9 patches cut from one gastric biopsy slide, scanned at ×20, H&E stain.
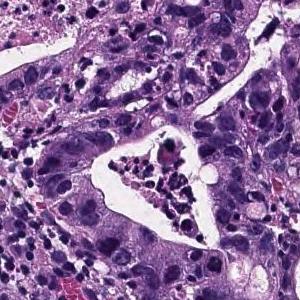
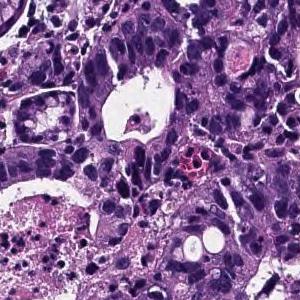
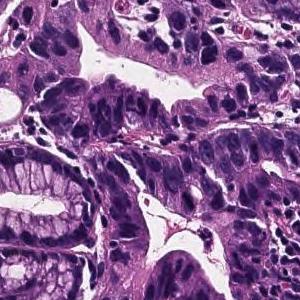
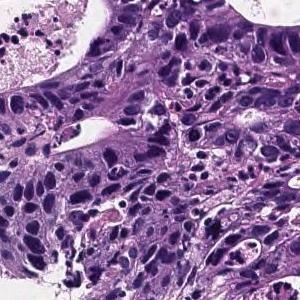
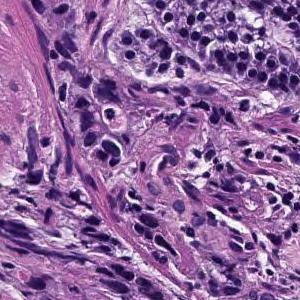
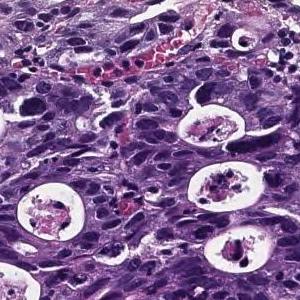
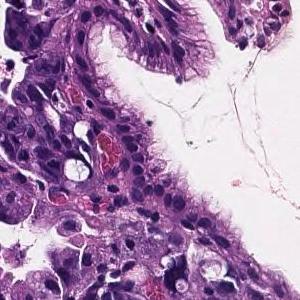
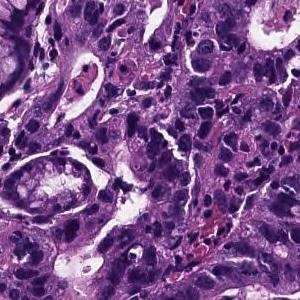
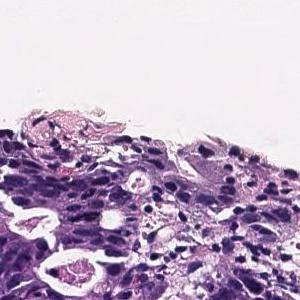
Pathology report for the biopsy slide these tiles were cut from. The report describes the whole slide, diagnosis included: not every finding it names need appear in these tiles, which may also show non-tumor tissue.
In the superficial epithelium, tumor tissue that invades by forming medium-sized to small, irregular ducts is observed. moderately differentiated tubular adenocarcinoma.
